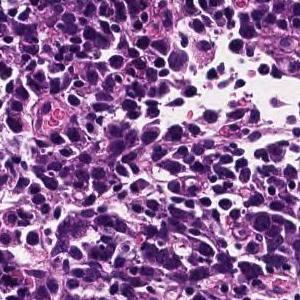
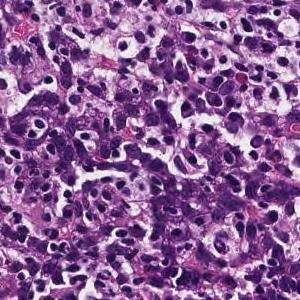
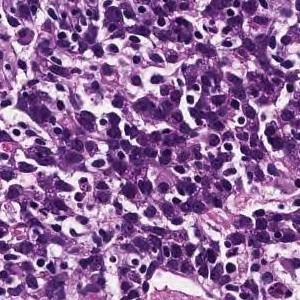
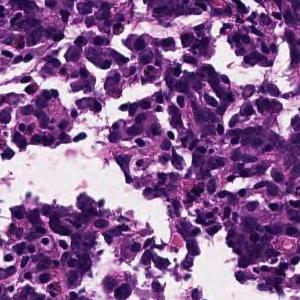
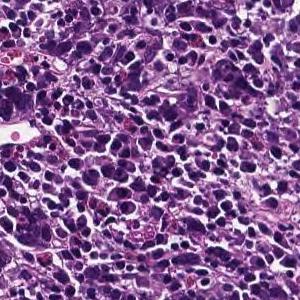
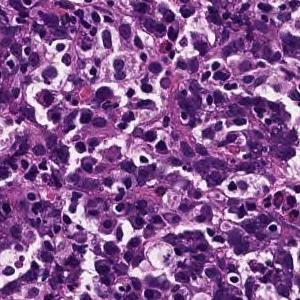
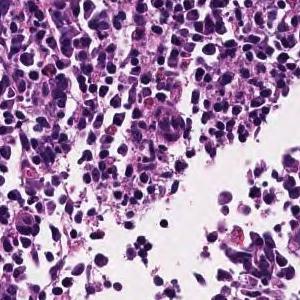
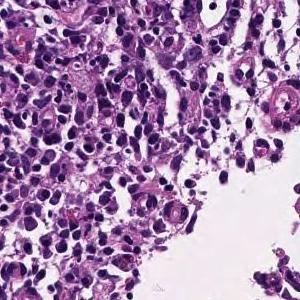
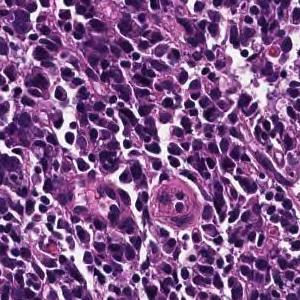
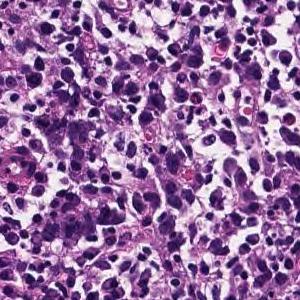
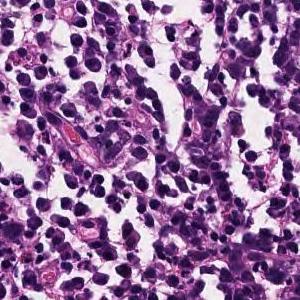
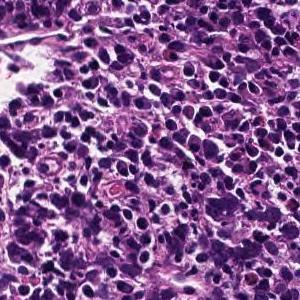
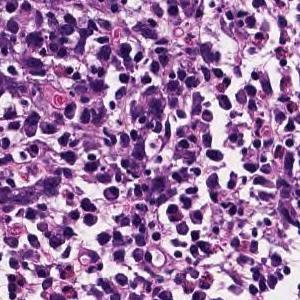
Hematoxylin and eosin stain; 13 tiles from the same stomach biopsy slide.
Diagnostic report for the slide these tiles come from. The findings and the diagnosis refer to the entire slide; these tiles show only part of it, possibly with non-tumor tissue, and may not show every feature named.
Tumor tissue consisting of cord-like or small, irregular glandular ducts fused and infiltrated is observed in the superficial epithelium. Poorly differentiated adenocarcinoma, non-solid type
The non-solid type named here is a Japanese Classification of Gastric Carcinoma category.
